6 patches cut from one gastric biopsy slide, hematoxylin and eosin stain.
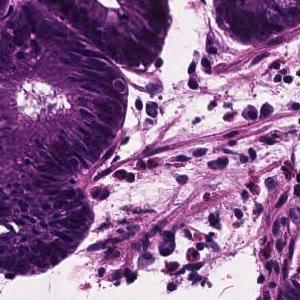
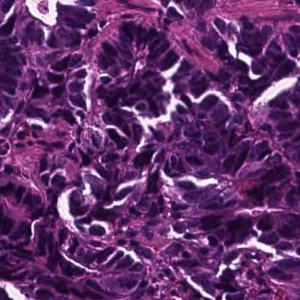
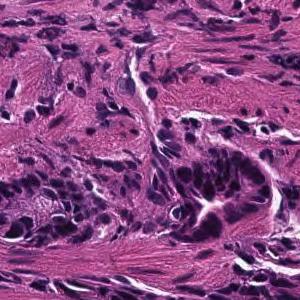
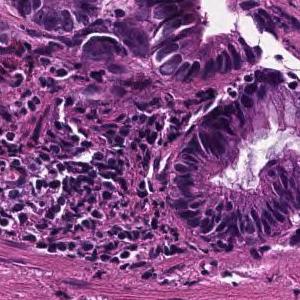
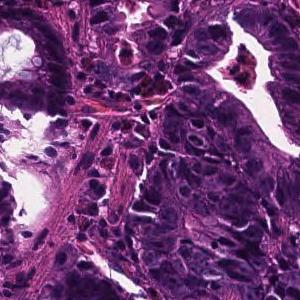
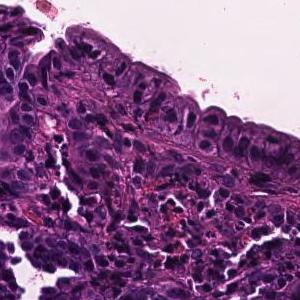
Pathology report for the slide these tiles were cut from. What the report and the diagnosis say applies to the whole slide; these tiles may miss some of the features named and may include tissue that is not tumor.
In the superficial epithelium, tumor tissue that invades by forming medium-sized to small, irregular ducts is observed. moderately differentiated tubular adenocarcinoma.
